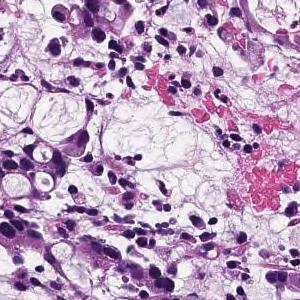
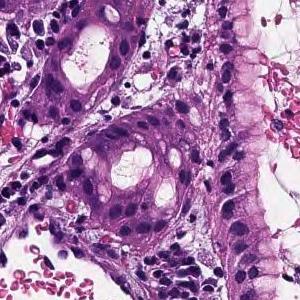
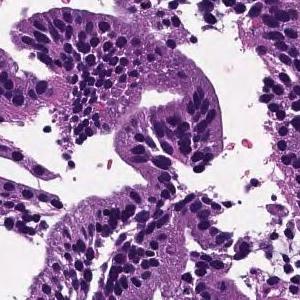
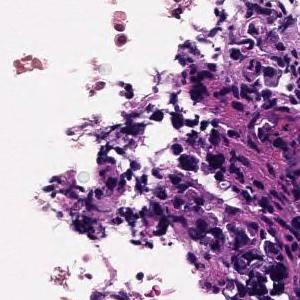
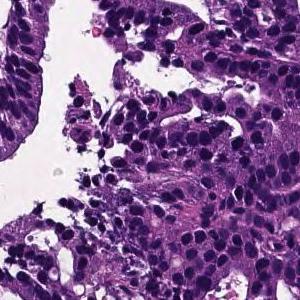
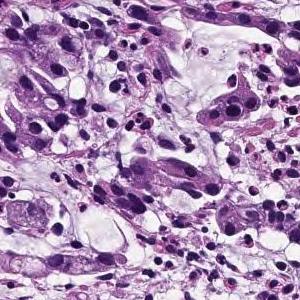
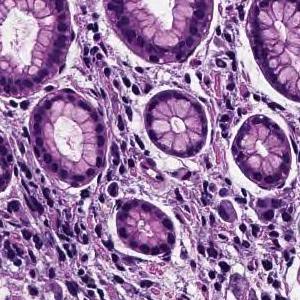
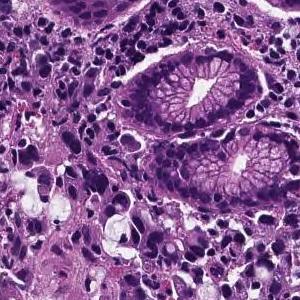
8 tiles from the same stomach biopsy slide, 300 × 300 pixels each.
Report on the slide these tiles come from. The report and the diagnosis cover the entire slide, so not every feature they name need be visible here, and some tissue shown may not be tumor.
Tumor tissue consisting of cord-like or small, irregular glandular ducts fused and infiltrated is observed in the superficial epithelium. Poorly differentiated adenocarcinoma, non-solid type
The term "non-solid type" comes from the Japanese Classification of Gastric Carcinoma.
